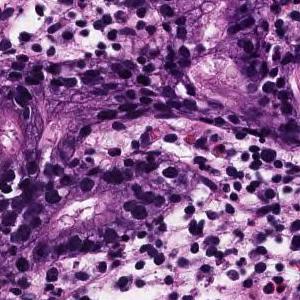
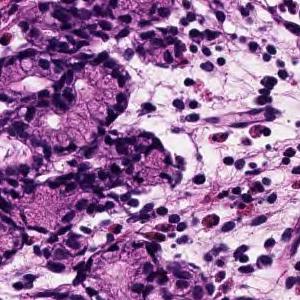
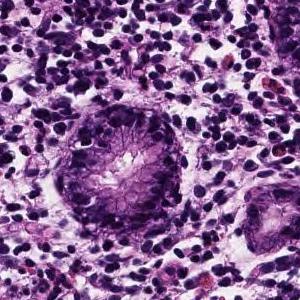
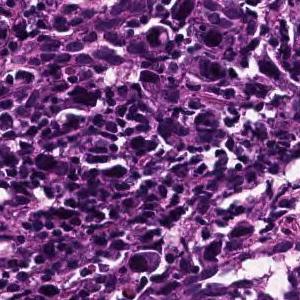
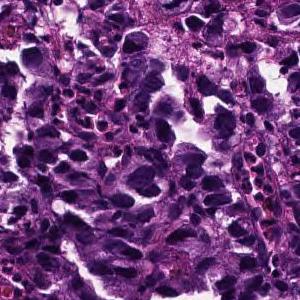
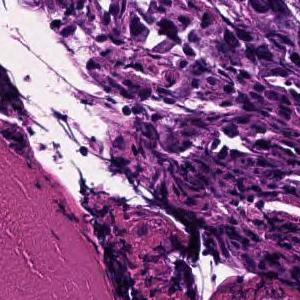
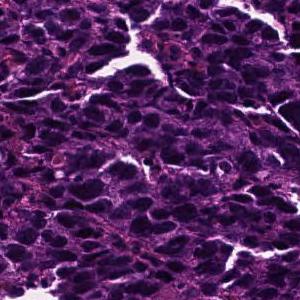
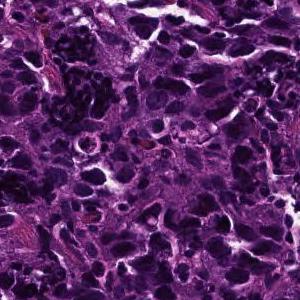
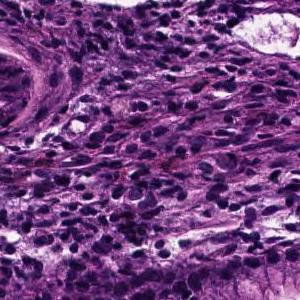
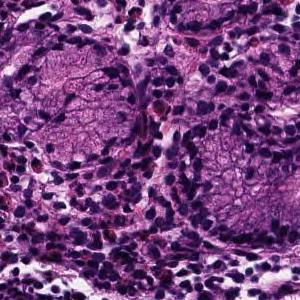
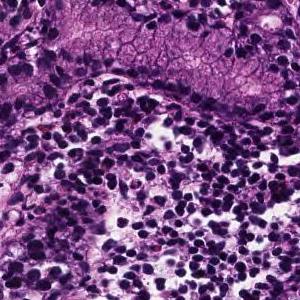
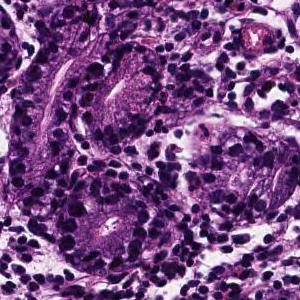
Hematoxylin and eosin stain, 20× magnification, 12 patches cut from one gastric biopsy slide.
Pathology report for the biopsy slide these tiles were cut from. The findings and the diagnosis refer to the entire slide; these tiles show only part of it, possibly with non-tumor tissue, and may not show every feature named.
The superficial epithelium shows a large sheet-like shape, and some tumor tissues infiltrate with a small cord-like structure. Poorly differentiated adenocarcinoma, solid type (poorly differentiated adenocarcinoma, solid type)
Classified as poorly differentiated adenocarcinoma, solid type (Japanese Classification of Gastric Carcinoma). The WHO 2019 equivalent is tubular adenocarcinoma, poorly differentiated.
